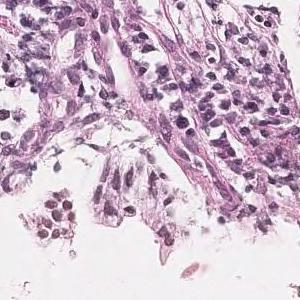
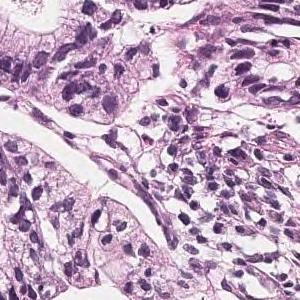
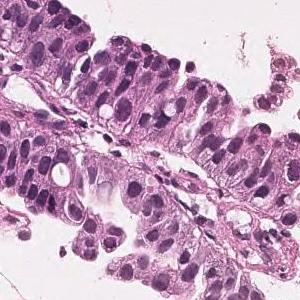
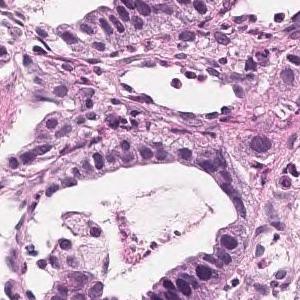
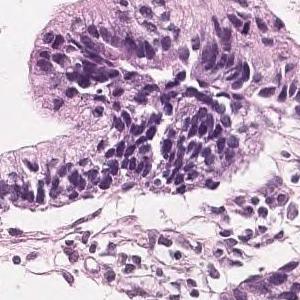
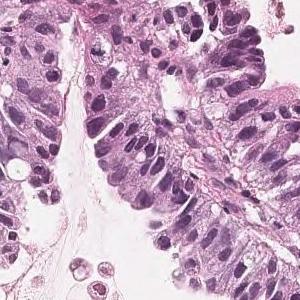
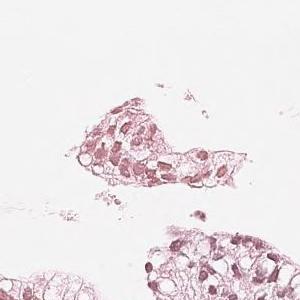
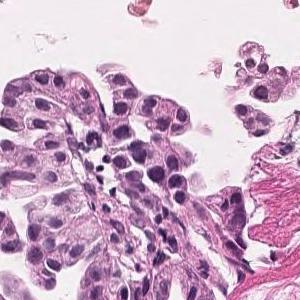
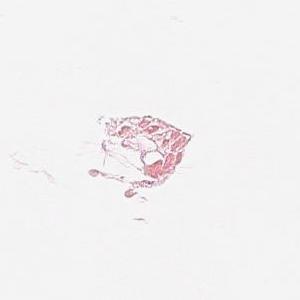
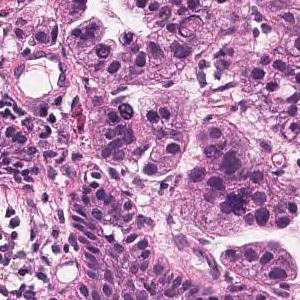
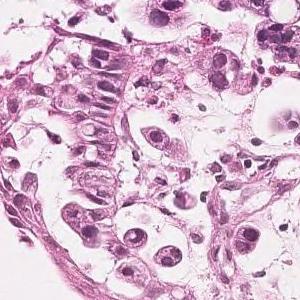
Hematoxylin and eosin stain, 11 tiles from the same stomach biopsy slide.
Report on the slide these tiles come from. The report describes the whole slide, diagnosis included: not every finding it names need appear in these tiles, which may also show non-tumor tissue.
Tumor cells are large, highly columnar, large club-shaped nuclei, and are associated with chromatin aggregation. Papillary adenocarcinoma.
